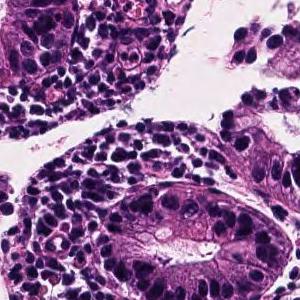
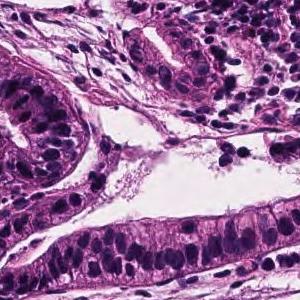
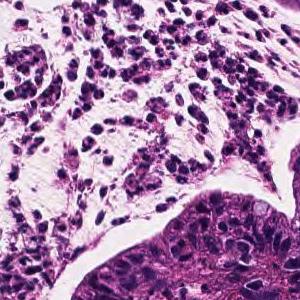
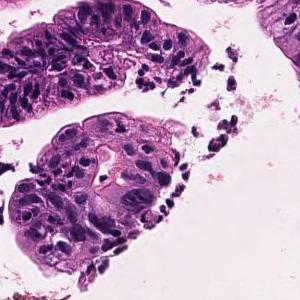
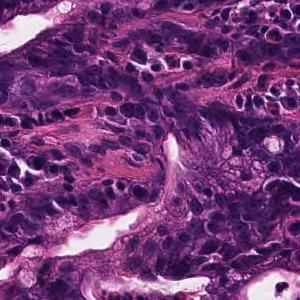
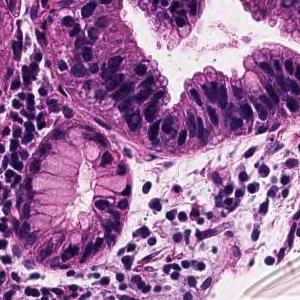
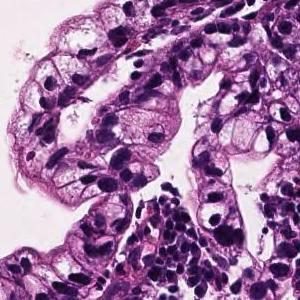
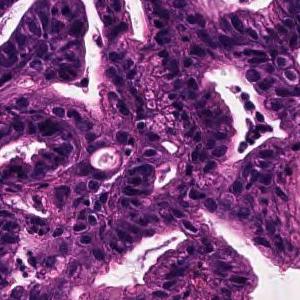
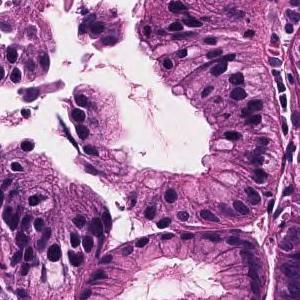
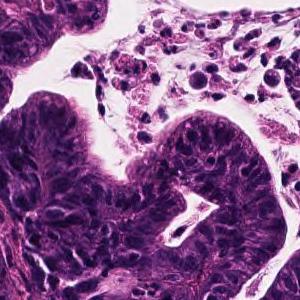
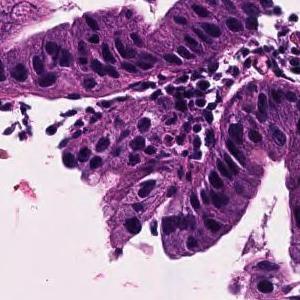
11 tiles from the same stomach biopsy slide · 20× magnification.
Report on the slide these tiles come from. The report and the diagnosis describe the slide as a whole, so these tiles may not show every feature named and may include non-tumor tissue.
Tumor cells are large, highly columnar, large club-shaped nuclei, and are associated with chromatin aggregation. Papillary adenocarcinoma.
